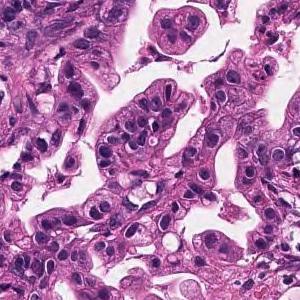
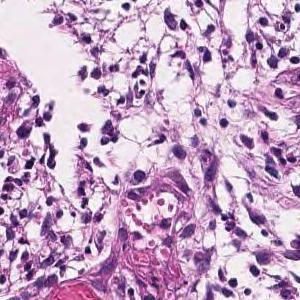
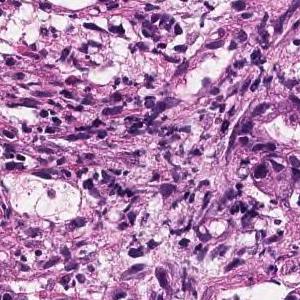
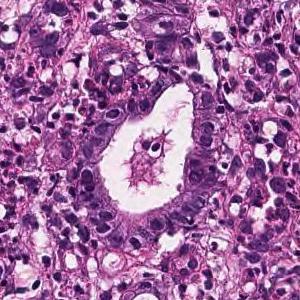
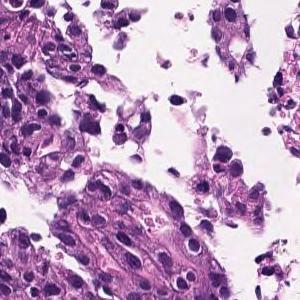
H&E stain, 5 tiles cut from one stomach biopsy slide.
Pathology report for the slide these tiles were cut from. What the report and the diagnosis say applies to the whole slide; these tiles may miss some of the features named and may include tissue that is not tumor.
In the superficial epithelium, medium to small, irregular gland ducts are formed, and in some cases, the gland ducts are fused to show solid alveolar lesions and infiltrating tumor tissue is observed. Moderately to poorly differentiated adenocarcinoma.
